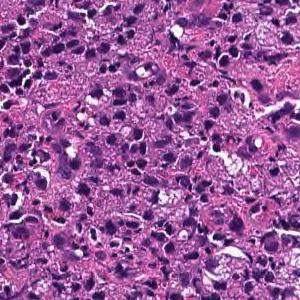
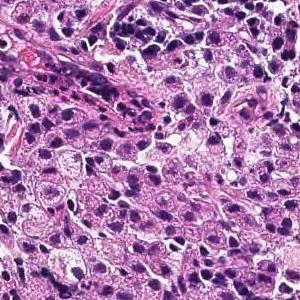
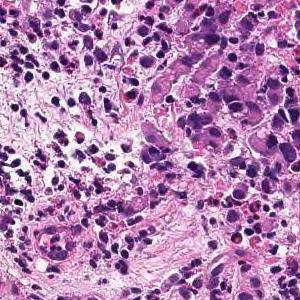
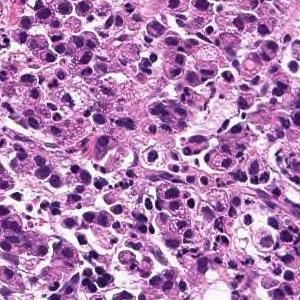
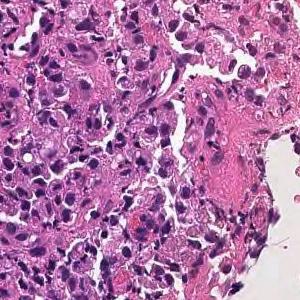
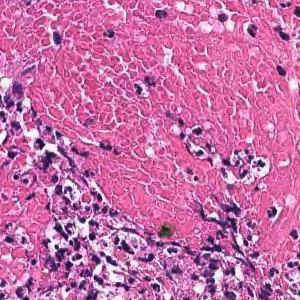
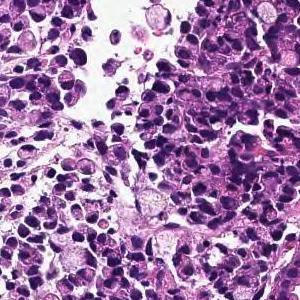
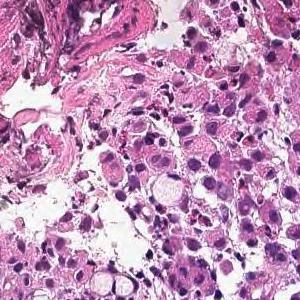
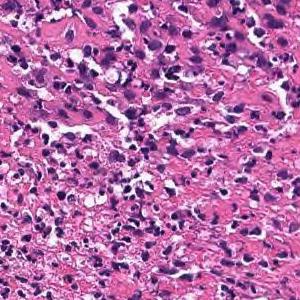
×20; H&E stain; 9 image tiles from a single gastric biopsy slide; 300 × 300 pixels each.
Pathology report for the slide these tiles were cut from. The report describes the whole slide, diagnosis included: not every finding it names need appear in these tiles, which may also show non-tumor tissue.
Tumor tissue consisting of diffusely infiltrated large atypical epithelial cells or signet ring atypical cells is observed in the superficial epithelium. Poorly differentiated adenocarcinoma, solid-type
Histologic type: Poorly differentiated adenocarcinoma, solid type (Japanese Classification of Gastric Carcinoma). The WHO 2019 equivalent is tubular adenocarcinoma, poorly differentiated.
